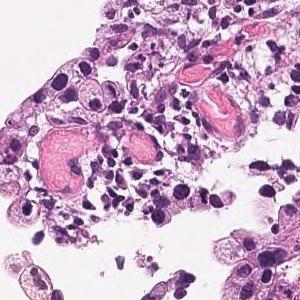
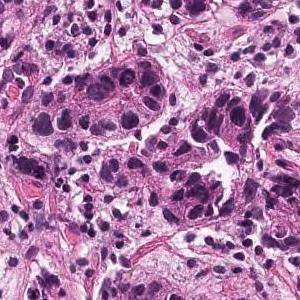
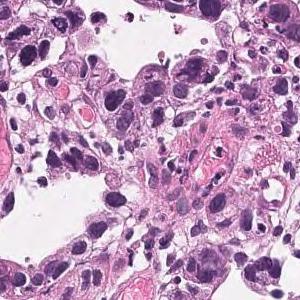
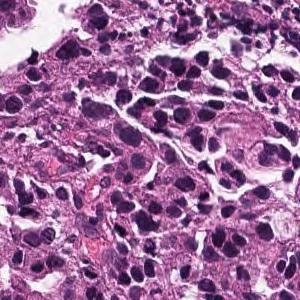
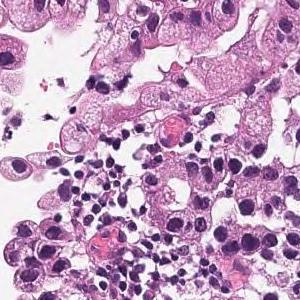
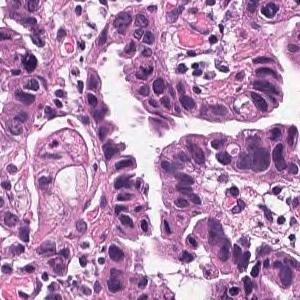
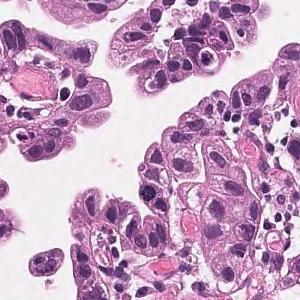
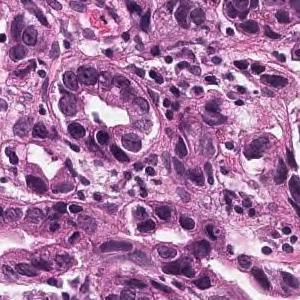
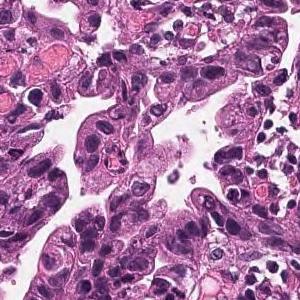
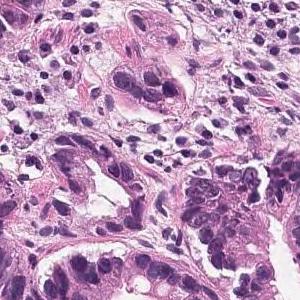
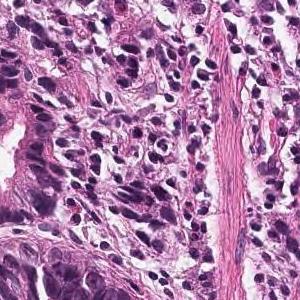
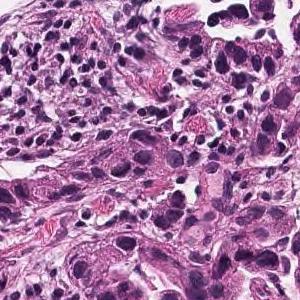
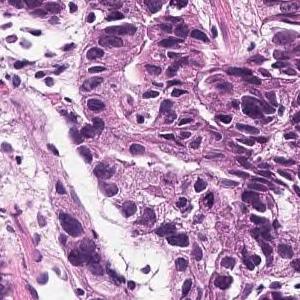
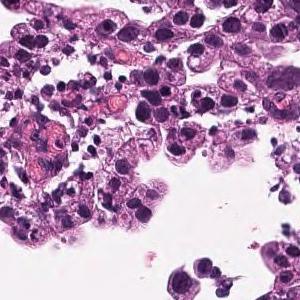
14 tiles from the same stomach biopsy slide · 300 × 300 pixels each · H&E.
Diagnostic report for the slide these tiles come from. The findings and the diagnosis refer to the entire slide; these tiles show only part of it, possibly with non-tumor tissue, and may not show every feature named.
Medium to small, irregular glandular ducts are formed in the superficial epithelium, and in some cases, the glandular ducts are fused to show solid alveolar lesions and infiltrating tumor tissue is observed. Moderately to poorly differentiated adenocarcinoma.
